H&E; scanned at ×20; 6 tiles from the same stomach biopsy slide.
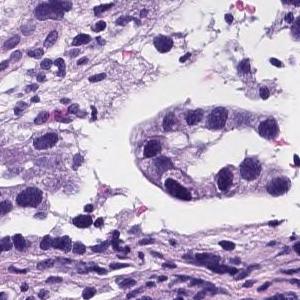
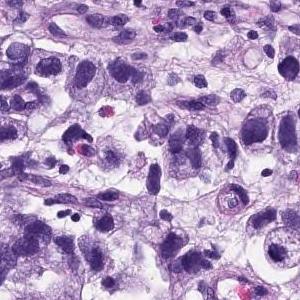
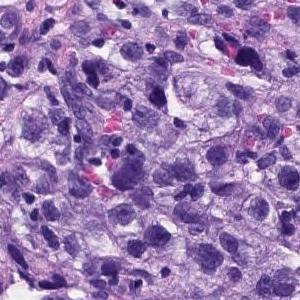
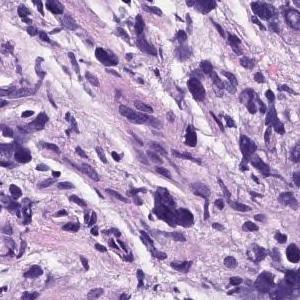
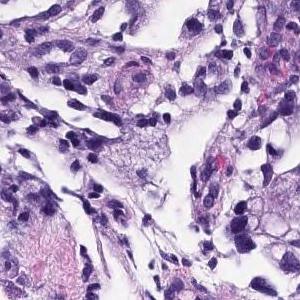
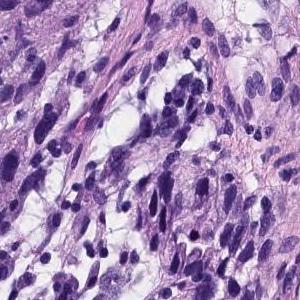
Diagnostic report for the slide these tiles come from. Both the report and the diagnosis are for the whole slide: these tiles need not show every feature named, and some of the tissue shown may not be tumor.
Medium to small, irregular glandular ducts are formed in the superficial epithelium, and in some cases, the glandular ducts are fused to show solid alveolar lesions and infiltrating tumor tissue is observed. Poorly differentiated adenocarcinoma, Moderately differentiated adenocarcinoma.
Labeled in the dataset as moderately differentiated tubular adenocarcinoma.
